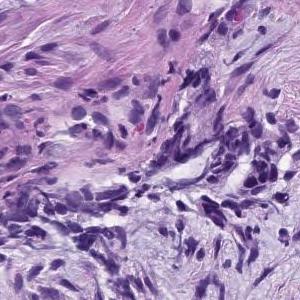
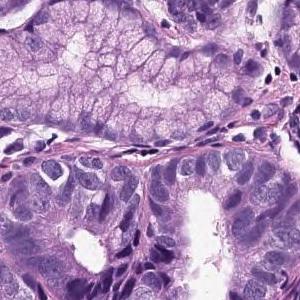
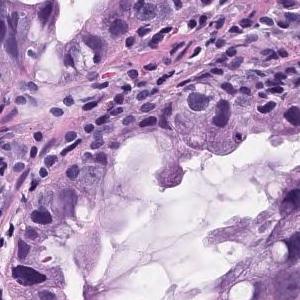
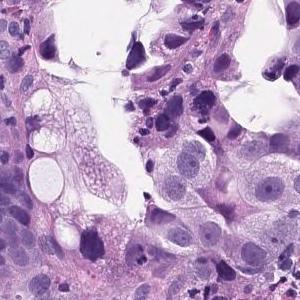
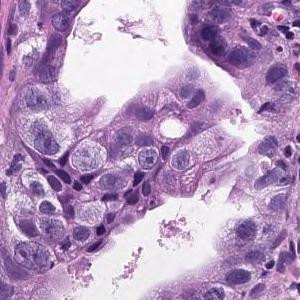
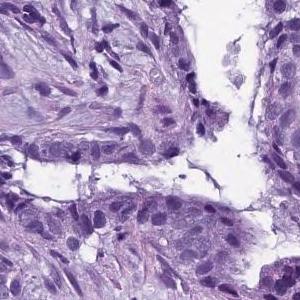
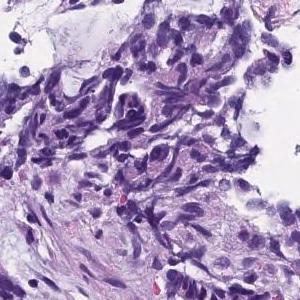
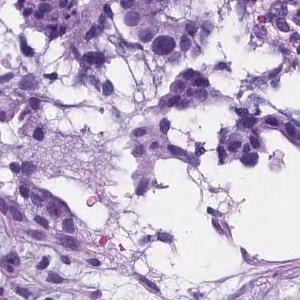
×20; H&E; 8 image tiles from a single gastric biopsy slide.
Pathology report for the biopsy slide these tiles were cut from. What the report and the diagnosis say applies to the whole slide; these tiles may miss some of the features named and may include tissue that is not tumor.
In the superficial epithelium, tumor tissue that invades by forming medium-sized to small, irregular ducts is observed. Moderately differentiated adenocarcinoma.
Classified as moderately differentiated tubular adenocarcinoma.
